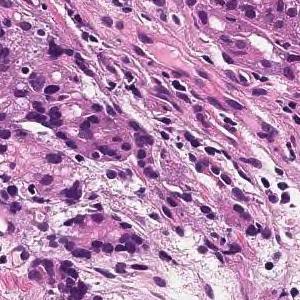
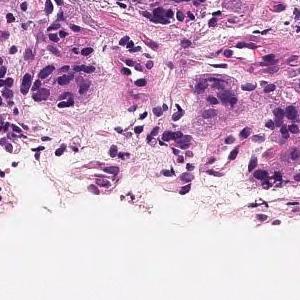
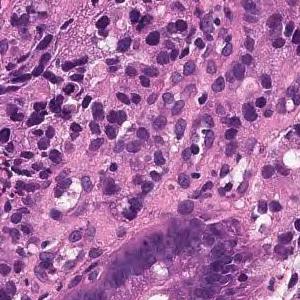
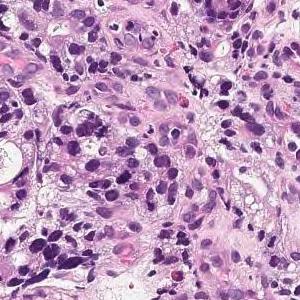
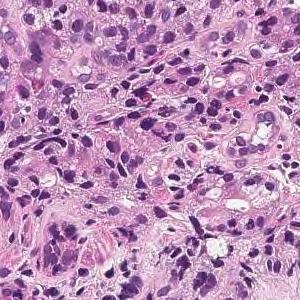
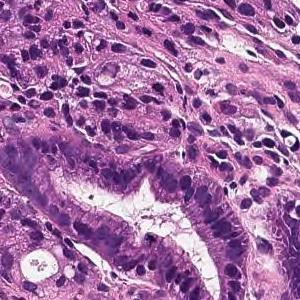
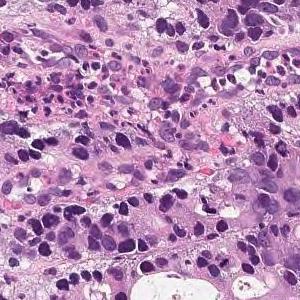
H&E; 7 tiles from the same stomach biopsy slide.
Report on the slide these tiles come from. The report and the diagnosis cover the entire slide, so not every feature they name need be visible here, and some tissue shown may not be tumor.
In the superficial epithelium, medium to small irregular gland ducts are formed, and in some cases, the ducts are fused to show solid alveolar lesions and infiltrating tumor tissue is observed. moderately differentiated tubular adenocarcinoma or poorly differentiated adenocarcinoma, solid-type (poorly differentiated adenocarcinoma, solid type)
Labeled in the dataset as poorly differentiated adenocarcinoma, solid type (Japanese Classification of Gastric Carcinoma). The WHO 2019 equivalent is tubular adenocarcinoma, poorly differentiated.
